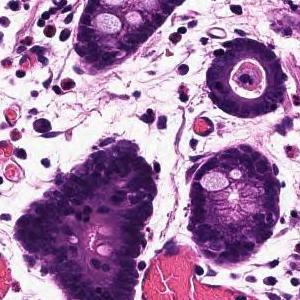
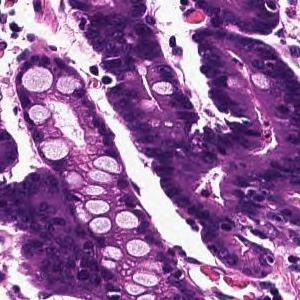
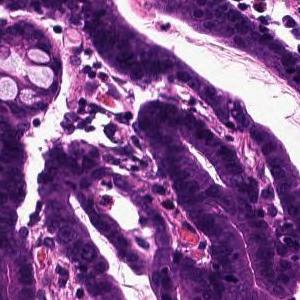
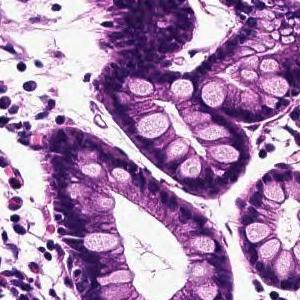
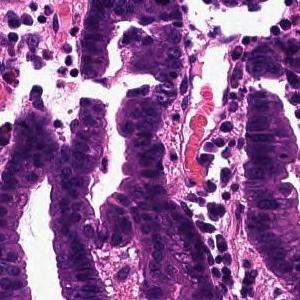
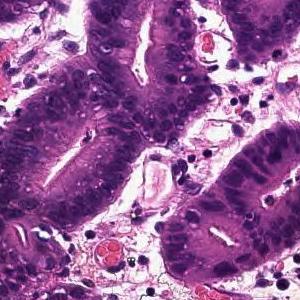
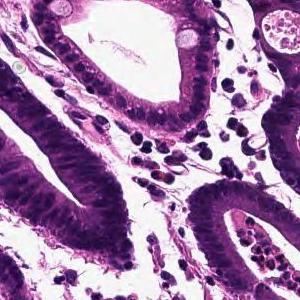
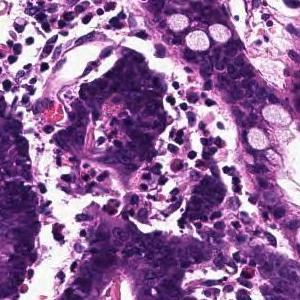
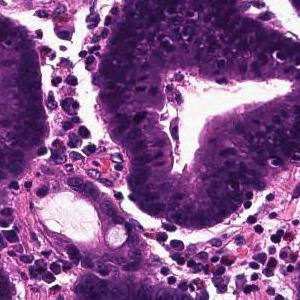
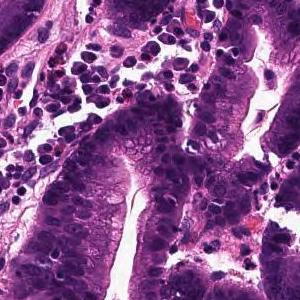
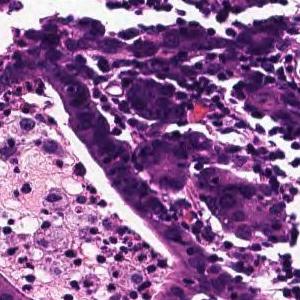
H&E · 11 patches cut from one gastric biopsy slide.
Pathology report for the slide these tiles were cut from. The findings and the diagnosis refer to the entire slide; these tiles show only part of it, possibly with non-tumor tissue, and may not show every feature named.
Tumor tissue that infiltrates by forming large papillary or large irregular glandular ducts is observed confined to the mucosa. Papillary adenocarcinoma
